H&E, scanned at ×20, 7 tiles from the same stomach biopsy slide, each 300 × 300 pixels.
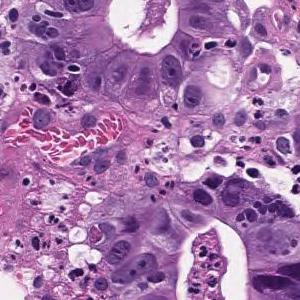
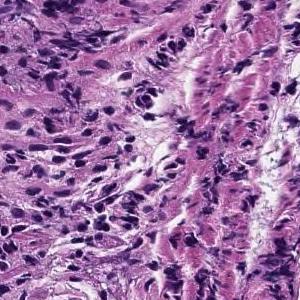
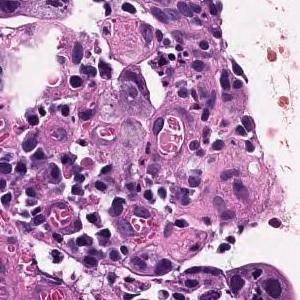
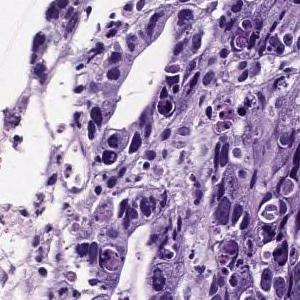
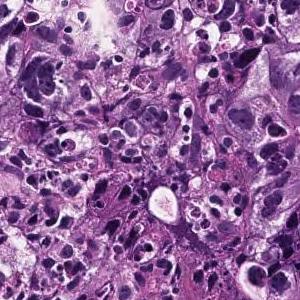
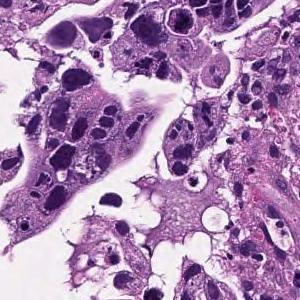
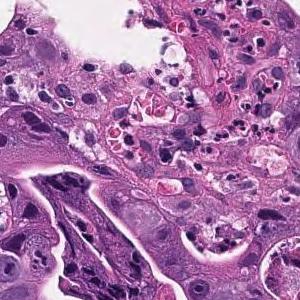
Report on the slide these tiles come from. Both the report and the diagnosis are for the whole slide: these tiles need not show every feature named, and some of the tissue shown may not be tumor.
In the superficial epithelium, medium to small irregular gland ducts are formed, and in some cases, the ducts are fused to show solid alveolar lesions and infiltrating tumor tissue is observed. Moderately to poorly differentiated adenocarcinoma
